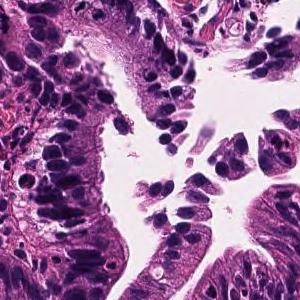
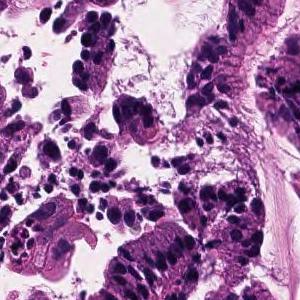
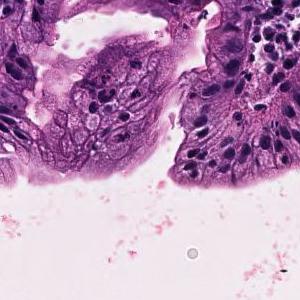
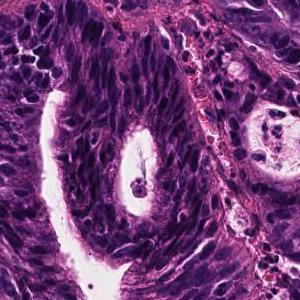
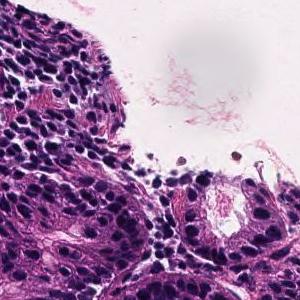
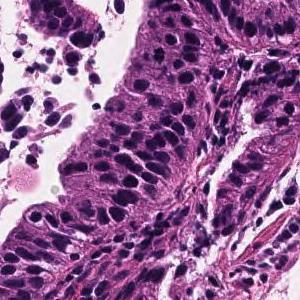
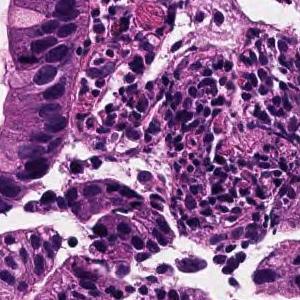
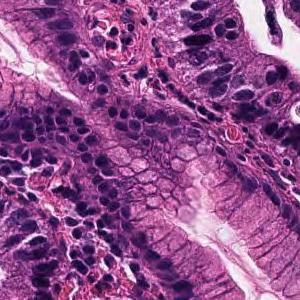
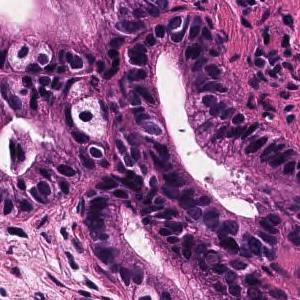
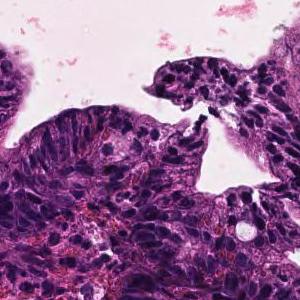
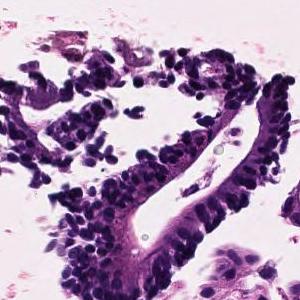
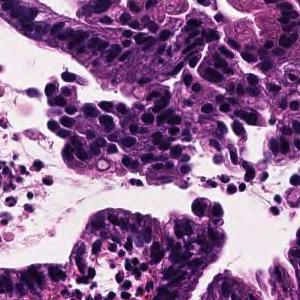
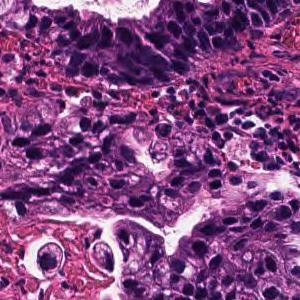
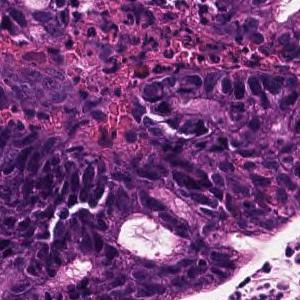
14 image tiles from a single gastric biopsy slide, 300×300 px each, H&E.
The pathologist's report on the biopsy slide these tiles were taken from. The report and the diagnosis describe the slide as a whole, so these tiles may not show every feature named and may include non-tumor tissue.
Tumor cells are large, highly columnar, large club-shaped nuclei, and are associated with chromatin aggregation. Papillary adenocarcinoma.
